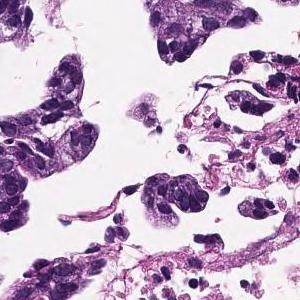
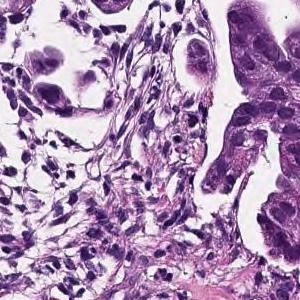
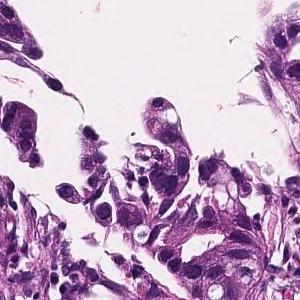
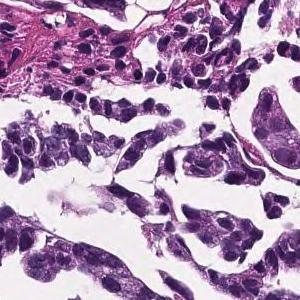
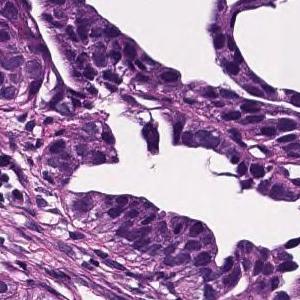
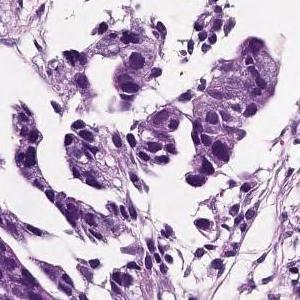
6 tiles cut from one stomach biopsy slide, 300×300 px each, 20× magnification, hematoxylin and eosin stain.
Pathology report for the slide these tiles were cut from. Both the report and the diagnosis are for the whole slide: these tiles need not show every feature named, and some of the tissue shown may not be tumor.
In the lamina propria, tumor tissue that invades by forming medium-sized to small, irregular glandular ducts is observed. moderately differentiated tubular adenocarcinoma
